H&E, ×20, 13 image tiles from a single gastric biopsy slide.
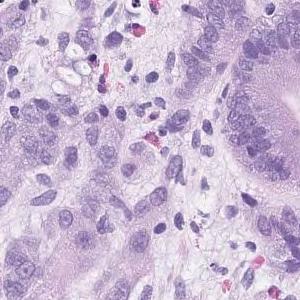
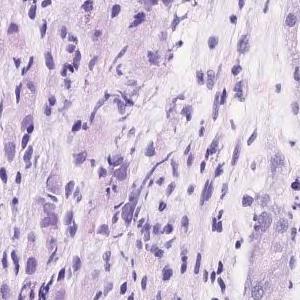
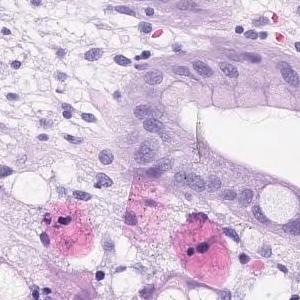
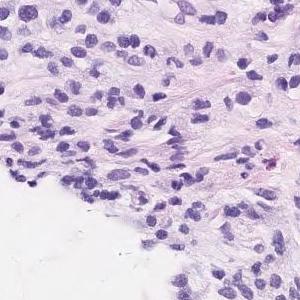
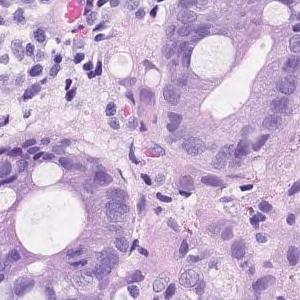
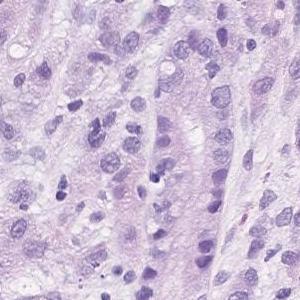
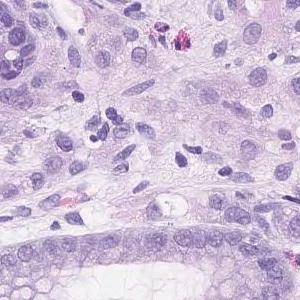
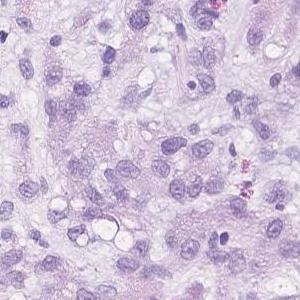
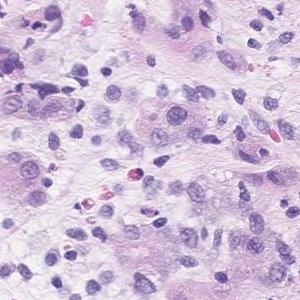
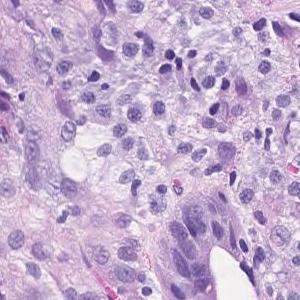
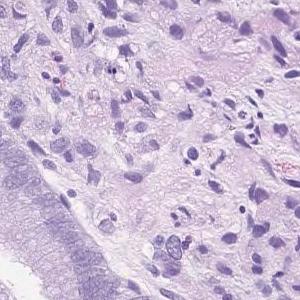
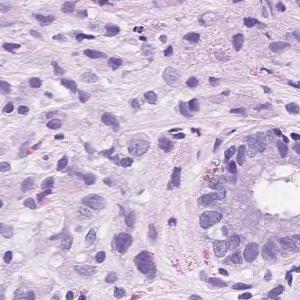
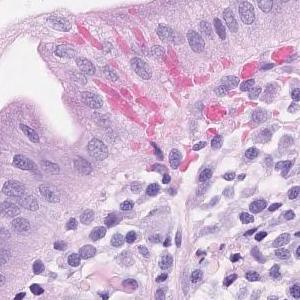
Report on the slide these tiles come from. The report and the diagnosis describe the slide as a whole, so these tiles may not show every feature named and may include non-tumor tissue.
Group 5, Adenocarcinoma. Poorly differentiated adenocarcinoma, non-solid type
The non-solid type named here is a Japanese Classification of Gastric Carcinoma category.
